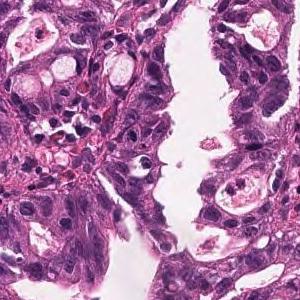
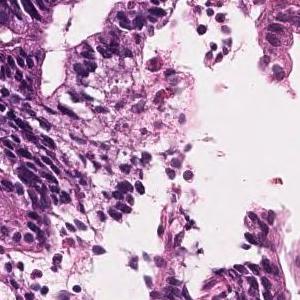
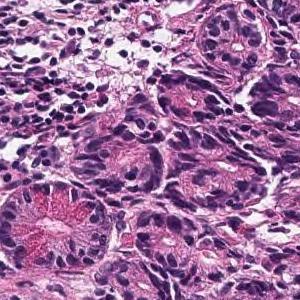
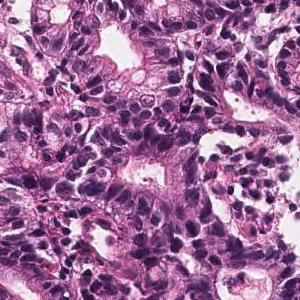
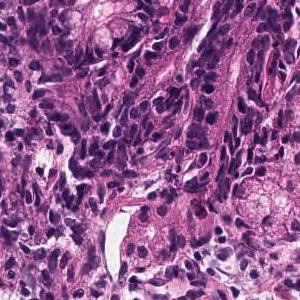
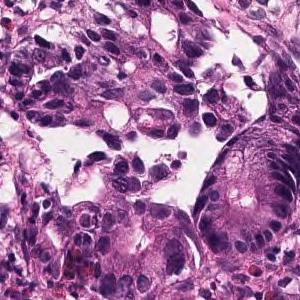
6 tiles from the same stomach biopsy slide; each 300 × 300 pixels; H&E; 20× magnification.
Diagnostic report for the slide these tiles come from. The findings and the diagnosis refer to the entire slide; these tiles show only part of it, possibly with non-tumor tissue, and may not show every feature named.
On the superficial epithelium, tumor tissue consisting of large, irregular glandular ducts partially fused and infiltrated is observed. Well to moderately differentiated tubular adenocarcinoma (well differentiated tubular adenocarcinoma, moderately differentiated tubular adenocarcinoma)
Classified as well to moderately differentiated tubular adenocarcinoma.
